6 patches cut from one gastric biopsy slide, ×20, hematoxylin and eosin stain.
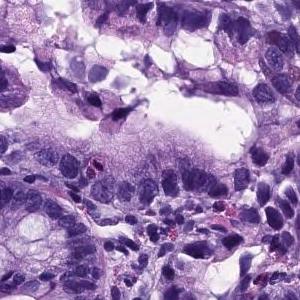
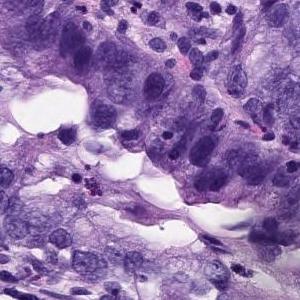
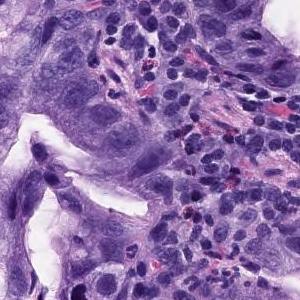
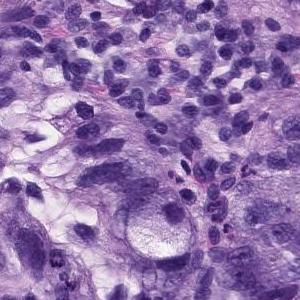
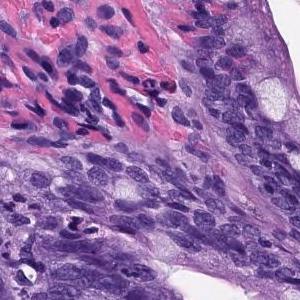
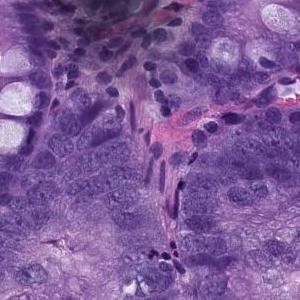
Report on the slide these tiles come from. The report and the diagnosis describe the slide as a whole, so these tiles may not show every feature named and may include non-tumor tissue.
There are large atypical epithelial cells infiltrating and proliferating while forming atypical glandular cavities showing a fusion tendency. Moderately differentiated tubular adenocarcinoma.
